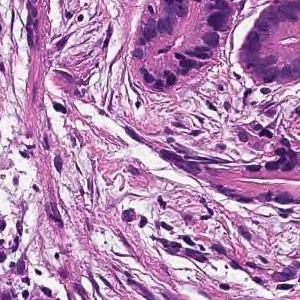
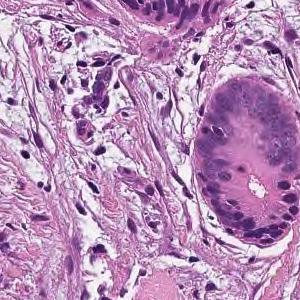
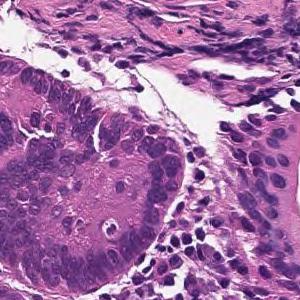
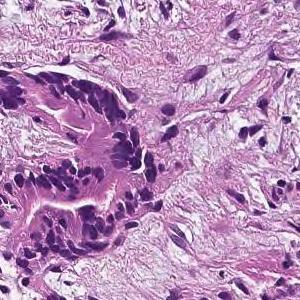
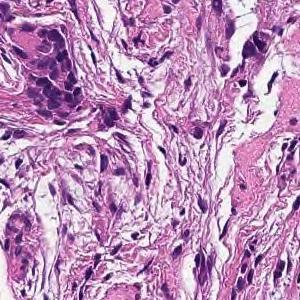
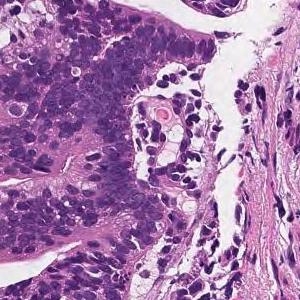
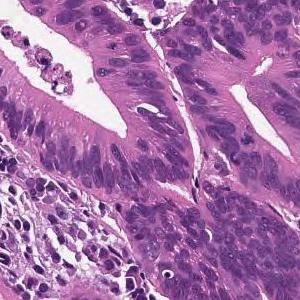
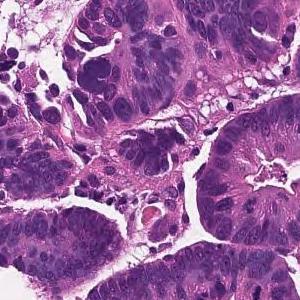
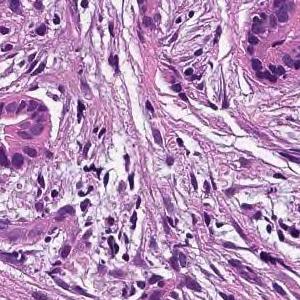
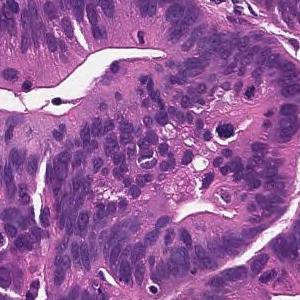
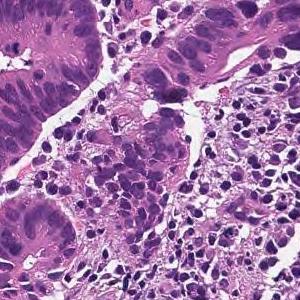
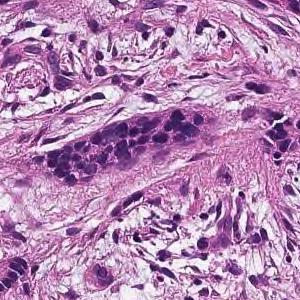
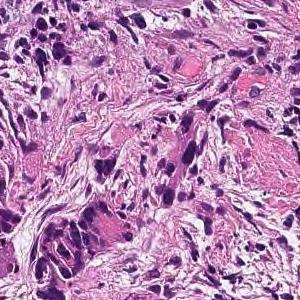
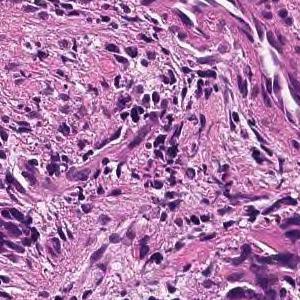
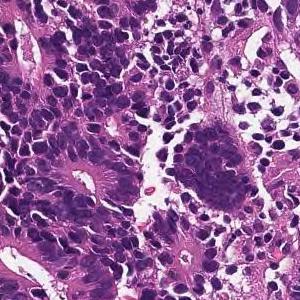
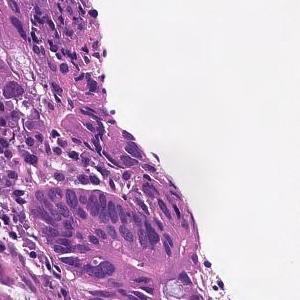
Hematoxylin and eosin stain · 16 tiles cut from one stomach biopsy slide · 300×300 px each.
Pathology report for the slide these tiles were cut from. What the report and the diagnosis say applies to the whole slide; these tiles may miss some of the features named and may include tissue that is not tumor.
From the superficial epithelium to the muscularis mucosae, tumor tissue consisting of medium-sized and irregular glandular ducts infiltrating is observed. Well differentiated tubular adenocarcinoma
